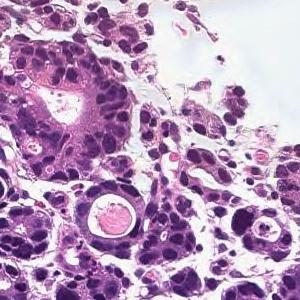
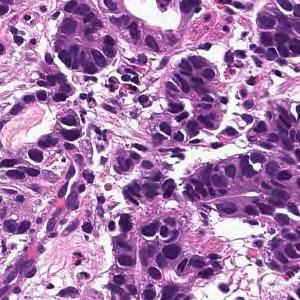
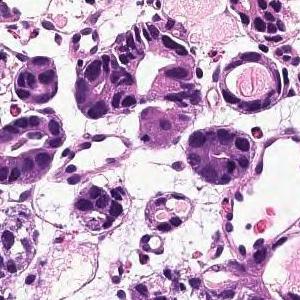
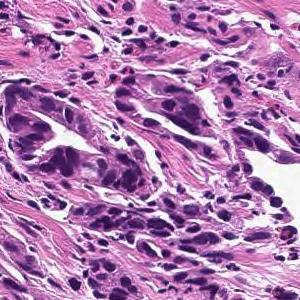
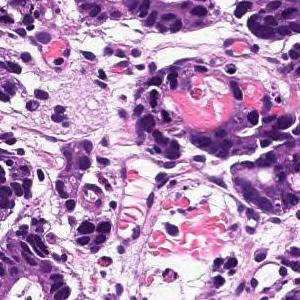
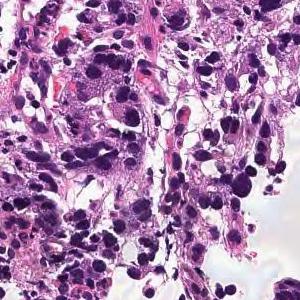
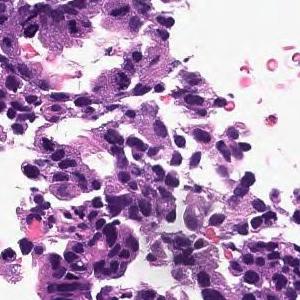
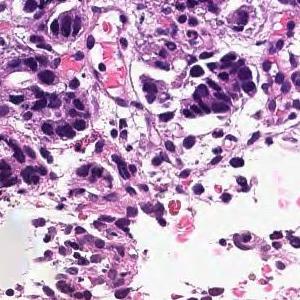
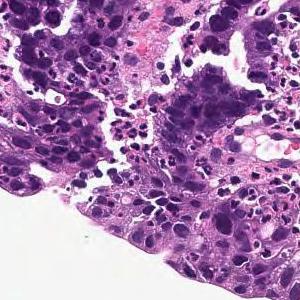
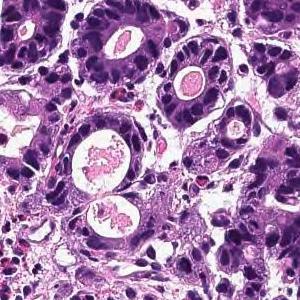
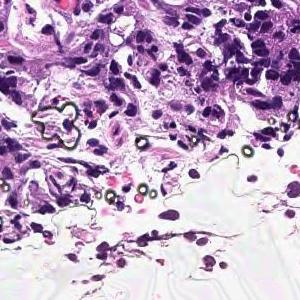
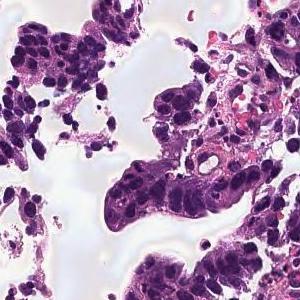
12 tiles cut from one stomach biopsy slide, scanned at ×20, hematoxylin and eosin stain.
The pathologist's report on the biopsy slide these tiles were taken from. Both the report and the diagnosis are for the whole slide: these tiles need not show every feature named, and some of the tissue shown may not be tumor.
In the superficial epithelium, tumor tissue that invades by forming medium-sized to small, irregular ducts is observed. moderately differentiated tubular adenocarcinoma.
